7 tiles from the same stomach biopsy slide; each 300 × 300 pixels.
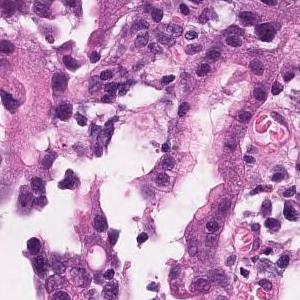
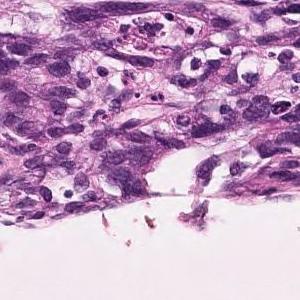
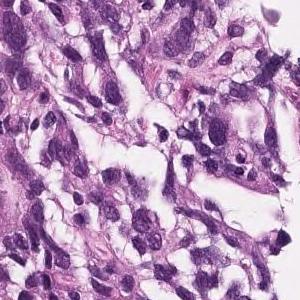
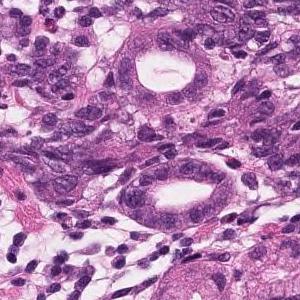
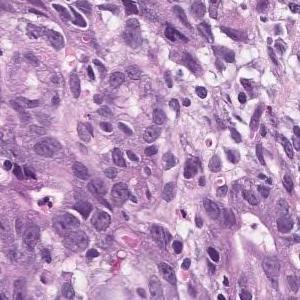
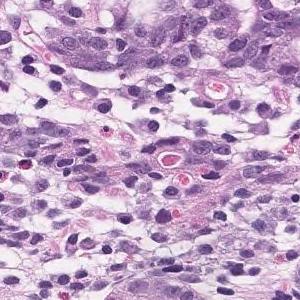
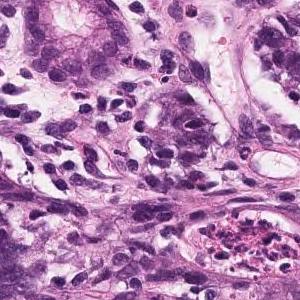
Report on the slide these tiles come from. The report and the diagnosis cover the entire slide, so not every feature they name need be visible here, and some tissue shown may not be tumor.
It is mixed with the existing pit epithelium and pyloric gland epithelium, and irregularly fused and branched atypical ducts are observed. Moderately differentiated tubular adenocarcinoma (well differentiated tubular adenocarcinoma)
Dataset label: moderately differentiated tubular adenocarcinoma.
